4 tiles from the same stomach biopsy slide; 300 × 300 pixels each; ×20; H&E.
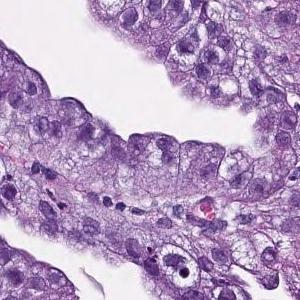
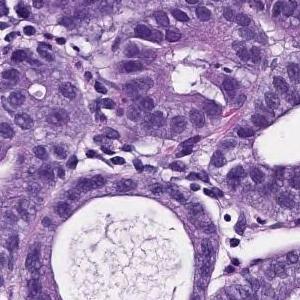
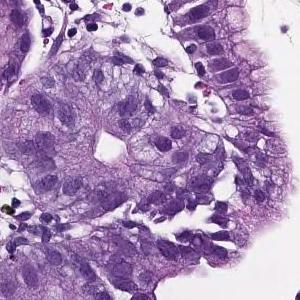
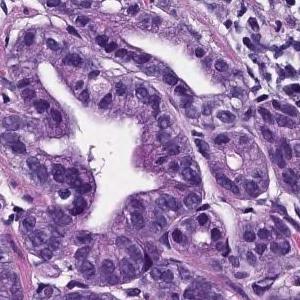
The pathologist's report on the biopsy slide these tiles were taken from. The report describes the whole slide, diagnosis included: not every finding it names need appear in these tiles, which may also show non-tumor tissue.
On the superficial epithelium, tumor tissue that infiltrates by forming medium-sized papillary or small irregular ducts is observed. Papillary adenocarcinoma
